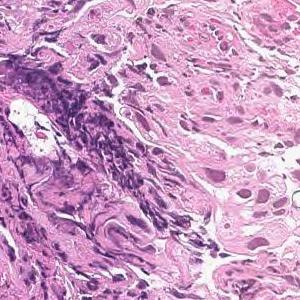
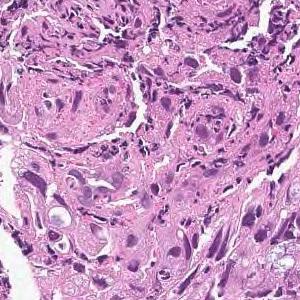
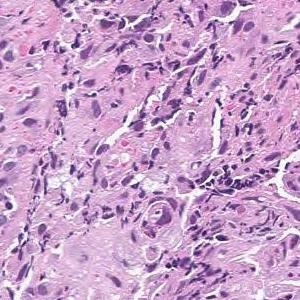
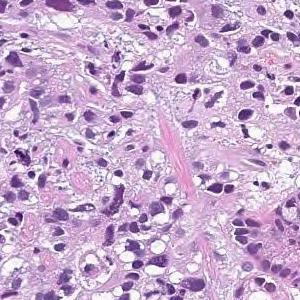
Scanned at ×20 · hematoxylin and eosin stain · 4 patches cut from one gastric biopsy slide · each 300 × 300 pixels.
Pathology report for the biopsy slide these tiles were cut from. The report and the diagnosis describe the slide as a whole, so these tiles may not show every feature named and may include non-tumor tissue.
Tumor tissue consisting of cord-like or small, irregular glandular ducts fused and infiltrated is observed in the superficial epithelium. Poorly differentiated adenocarcinoma, non-solid type
"Non-solid type" is a category of the Japanese Classification of Gastric Carcinoma.
